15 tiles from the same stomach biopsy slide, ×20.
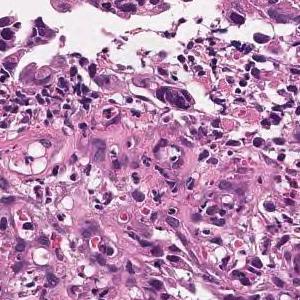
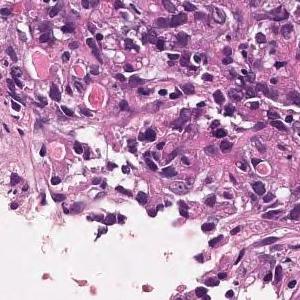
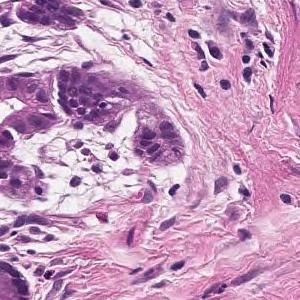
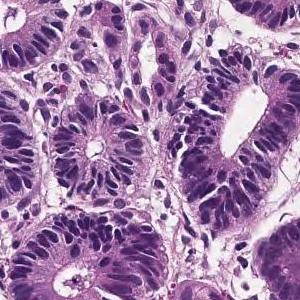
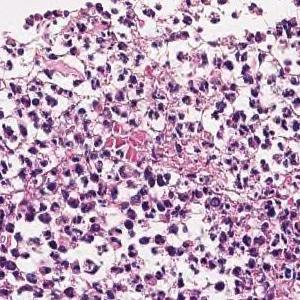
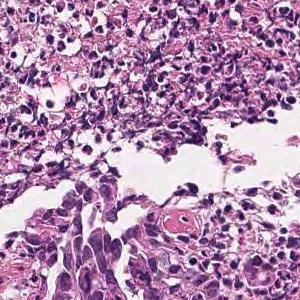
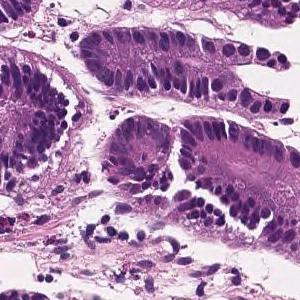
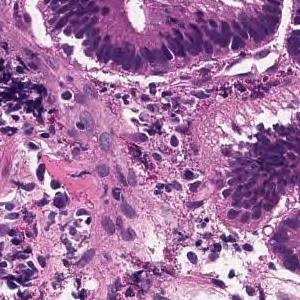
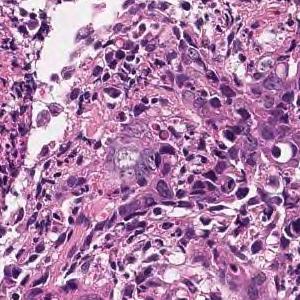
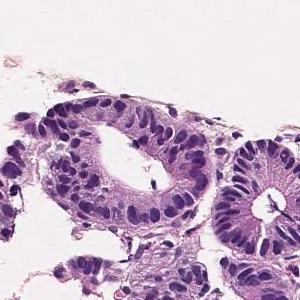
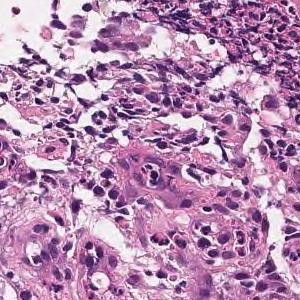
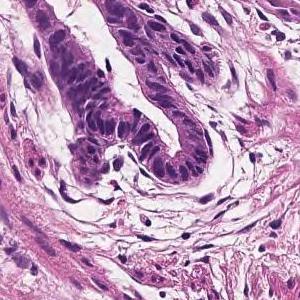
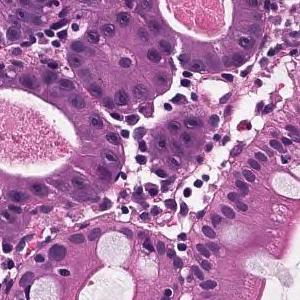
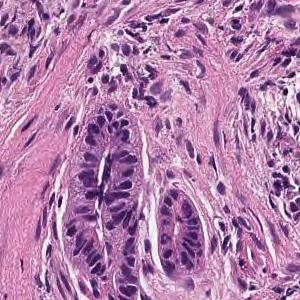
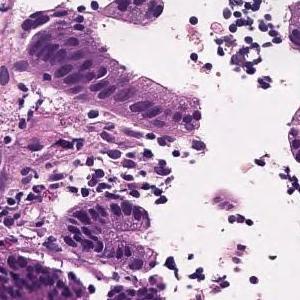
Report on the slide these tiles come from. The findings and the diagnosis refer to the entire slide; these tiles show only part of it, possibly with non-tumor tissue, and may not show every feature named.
Tumor tissue consisting of cord-like or small, irregular glandular ducts fused and infiltrated is observed in the superficial epithelium. Poorly differentiated adenocarcinoma, non-solid type
"Non-solid type" is a category of the Japanese Classification of Gastric Carcinoma.
